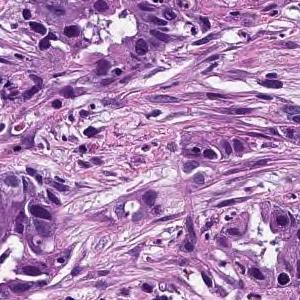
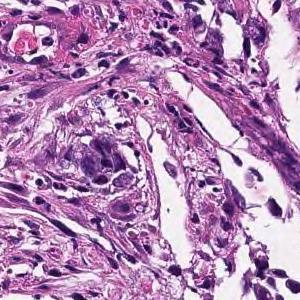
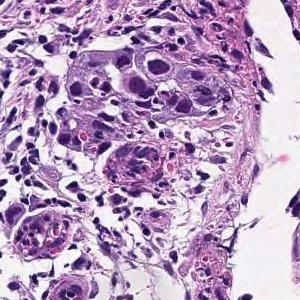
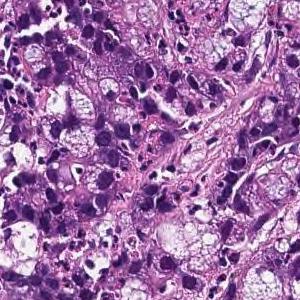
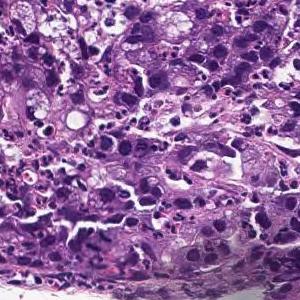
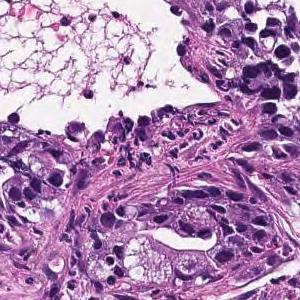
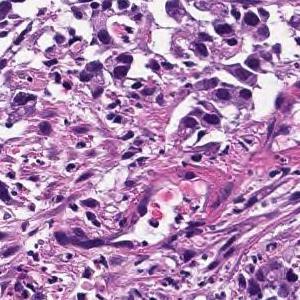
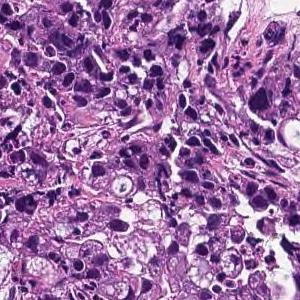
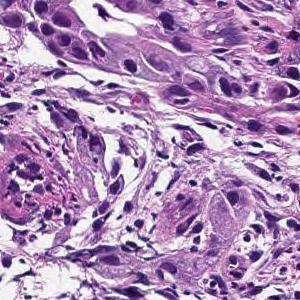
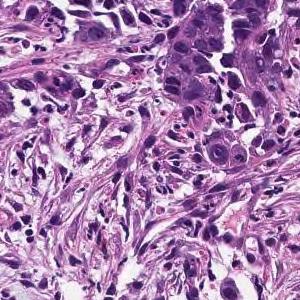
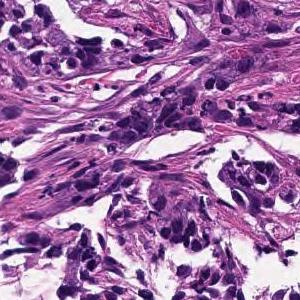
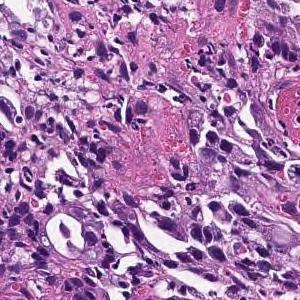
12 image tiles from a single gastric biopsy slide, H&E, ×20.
Pathology report for the biopsy slide these tiles were cut from. What the report and the diagnosis say applies to the whole slide; these tiles may miss some of the features named and may include tissue that is not tumor.
Medium to small, irregular glandular ducts are formed in the superficial epithelium, and in some cases, the glandular ducts are fused to show solid alveolar lesions and infiltrating tumor tissue is observed. Moderately to poorly differentiated adenocarcinoma.
